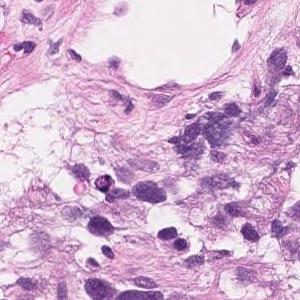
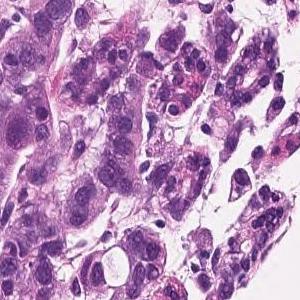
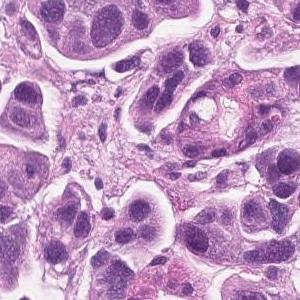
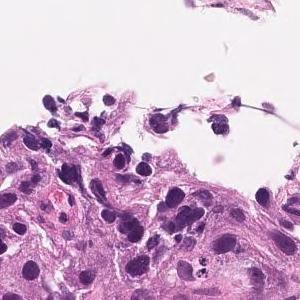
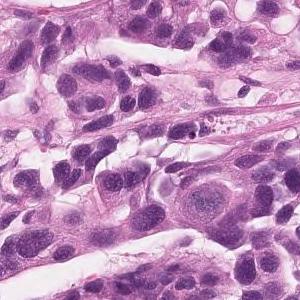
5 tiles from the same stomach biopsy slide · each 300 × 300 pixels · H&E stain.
Pathology report for the slide these tiles were cut from. The report and the diagnosis describe the slide as a whole, so these tiles may not show every feature named and may include non-tumor tissue.
Tumor tissue that infiltrates the epithelium in an alveolar manner. Poorly differentiated adenocarcinoma, solid-type
Histological subtype: Poorly differentiated adenocarcinoma, solid type. This name comes from the Japanese Classification of Gastric Carcinoma; the WHO 2019 classification calls it tubular adenocarcinoma, poorly differentiated.
